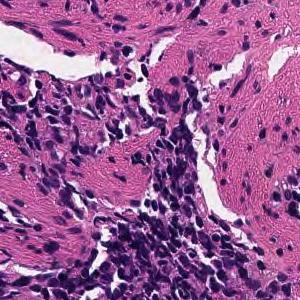
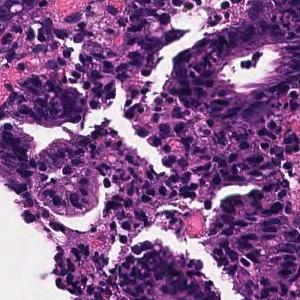
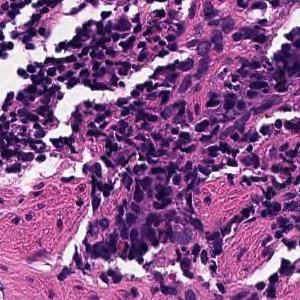
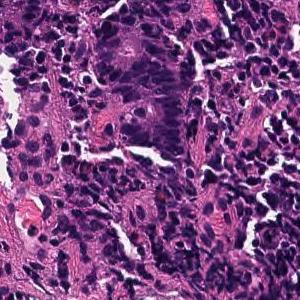
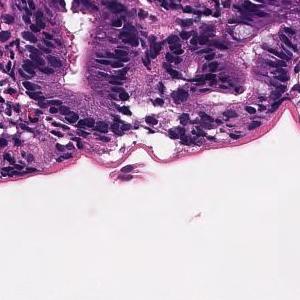
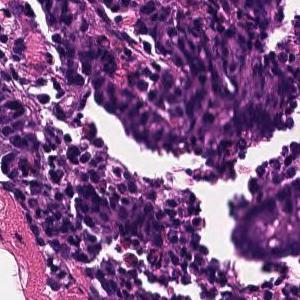
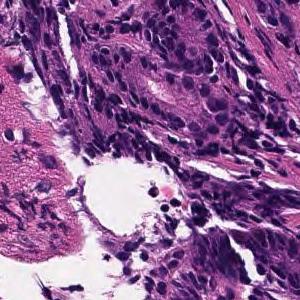
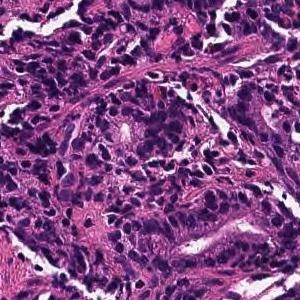
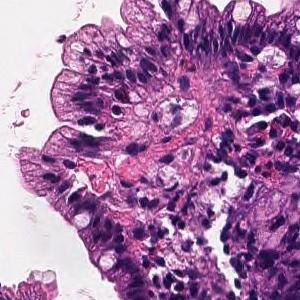
Hematoxylin and eosin stain; 9 tiles cut from one stomach biopsy slide; each 300 × 300 pixels.
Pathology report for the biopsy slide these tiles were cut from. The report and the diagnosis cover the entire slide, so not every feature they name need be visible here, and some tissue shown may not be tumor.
In the superficial epithelium, tumor tissue that invades by forming medium-sized to small, irregular ducts is observed. moderately differentiated tubular adenocarcinoma.
